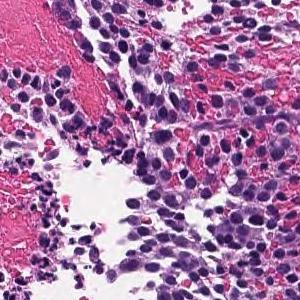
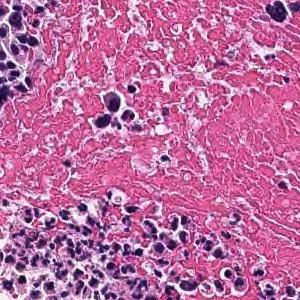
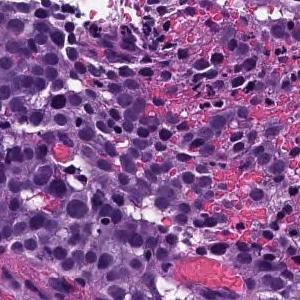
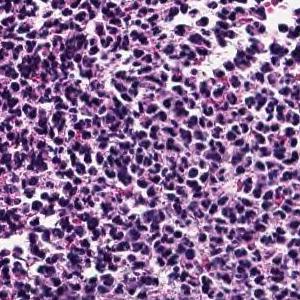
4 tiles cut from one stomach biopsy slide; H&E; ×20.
The pathologist's report on the biopsy slide these tiles were taken from. The report describes the whole slide, diagnosis included: not every finding it names need appear in these tiles, which may also show non-tumor tissue.
The superficial epithelium shows a large sheet-like shape, and some tumor tissue infiltrates with small irregular ducts. Poorly differentiated adenocarcinoma, solid-type
Subtype: Poorly differentiated adenocarcinoma, solid type (Japanese Classification of Gastric Carcinoma). The WHO 2019 equivalent is tubular adenocarcinoma, poorly differentiated.
